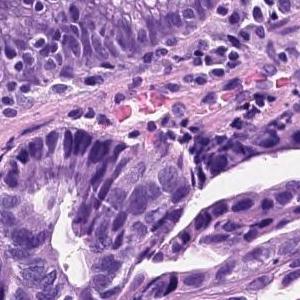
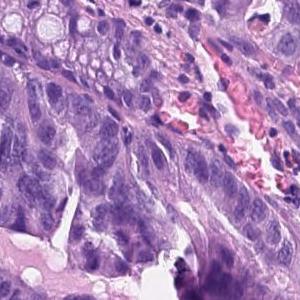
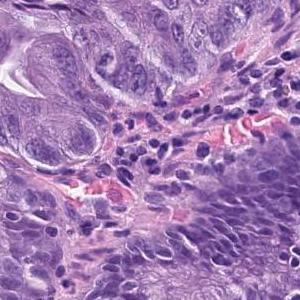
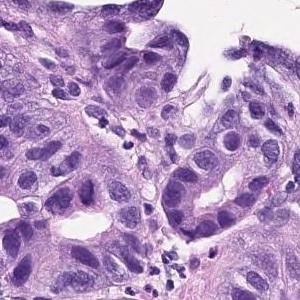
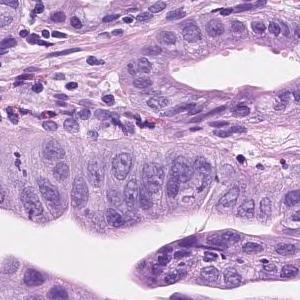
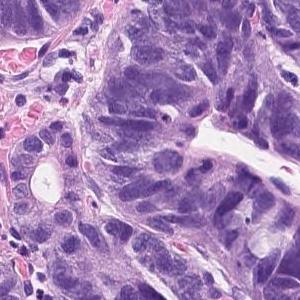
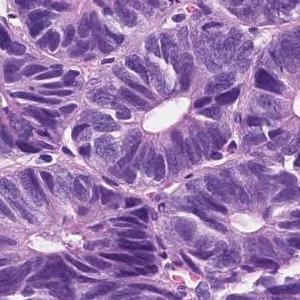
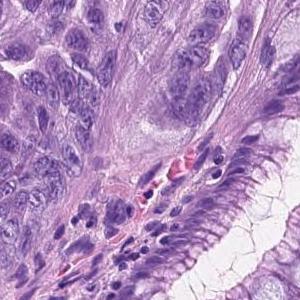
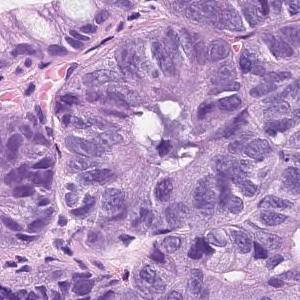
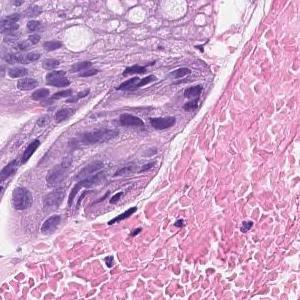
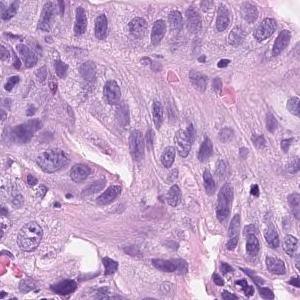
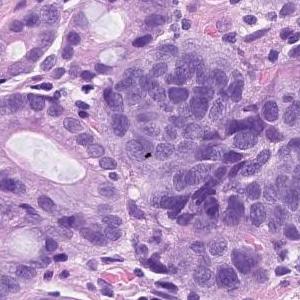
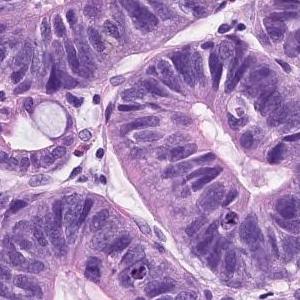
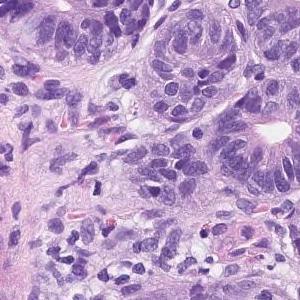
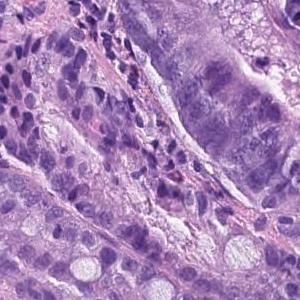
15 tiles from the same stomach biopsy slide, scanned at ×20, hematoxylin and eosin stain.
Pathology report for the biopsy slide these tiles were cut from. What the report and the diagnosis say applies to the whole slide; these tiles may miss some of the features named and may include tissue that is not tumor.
Tumor tissue consisting of medium-sized and irregular ducts is observed infiltrating in the superficial epithelium. Tumor cells are highly columnar, with nuclei aligned basolaterally and polarized. Well differentiated tubular adenocarcinoma.
